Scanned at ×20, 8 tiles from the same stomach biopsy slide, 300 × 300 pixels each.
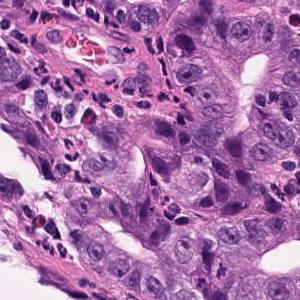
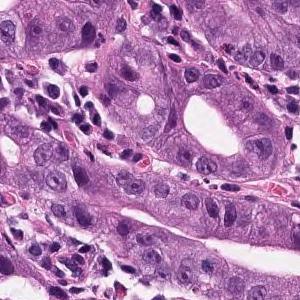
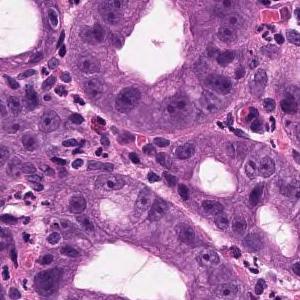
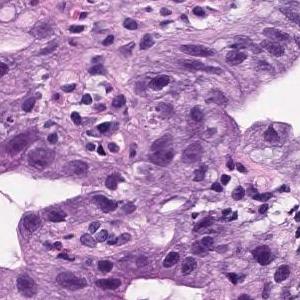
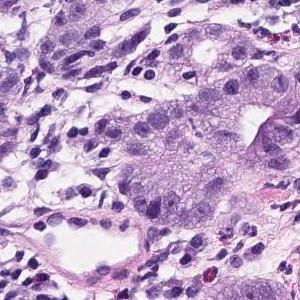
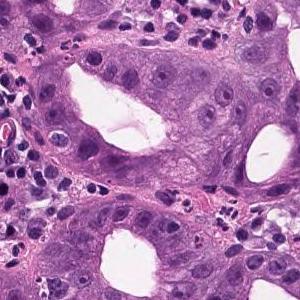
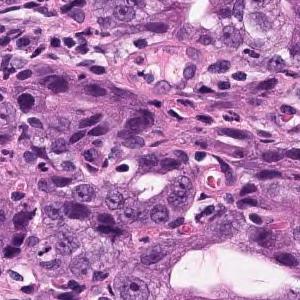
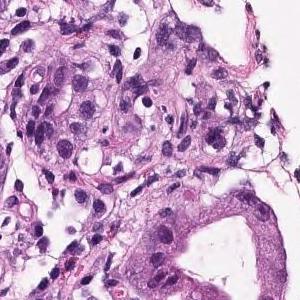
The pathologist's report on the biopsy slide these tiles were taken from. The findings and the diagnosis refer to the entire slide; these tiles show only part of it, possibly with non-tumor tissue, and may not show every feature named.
In the superficial epithelium, tumor tissue that invades by forming medium-sized to small, irregular ducts is observed. Well to moderately differentiated adenocarcinoma (well differentiated tubular adenocarcinoma, moderately differentiated tubular adenocarcinoma).
Tumor subtype: well to moderately differentiated tubular adenocarcinoma.
